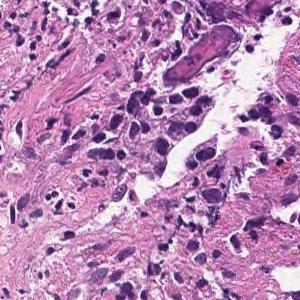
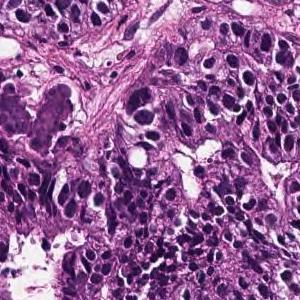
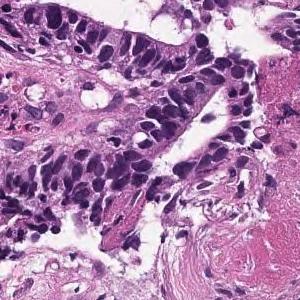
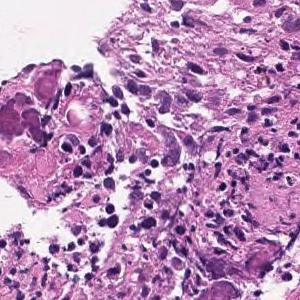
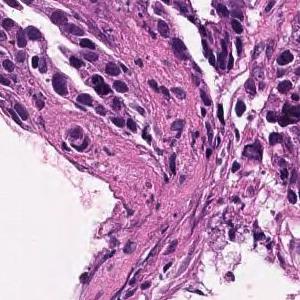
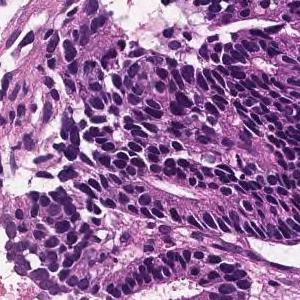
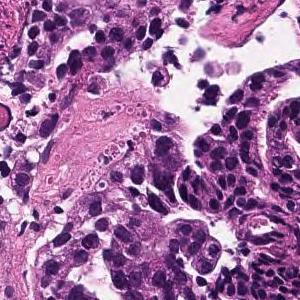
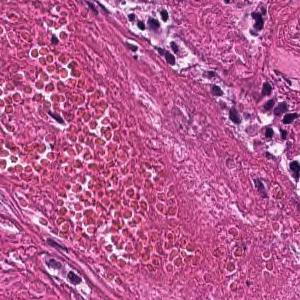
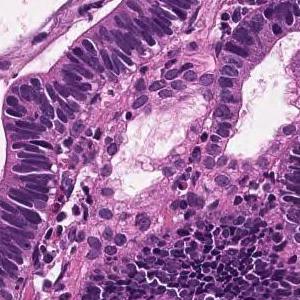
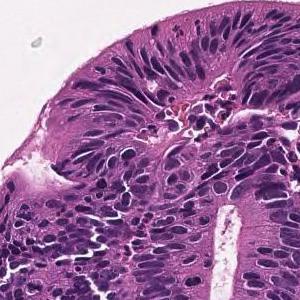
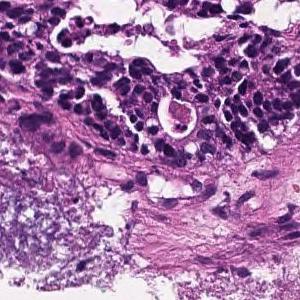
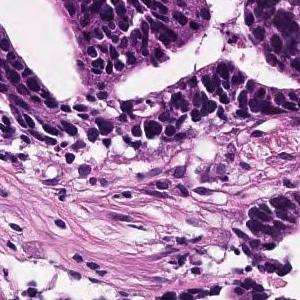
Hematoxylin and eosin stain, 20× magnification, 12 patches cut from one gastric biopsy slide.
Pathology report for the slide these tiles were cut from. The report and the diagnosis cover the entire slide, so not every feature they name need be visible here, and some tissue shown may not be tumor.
In the superficial epithelium, tumor tissue that invades by forming medium-sized to small, irregular ducts is observed. Well differentiated tubular adenocarcinoma.
